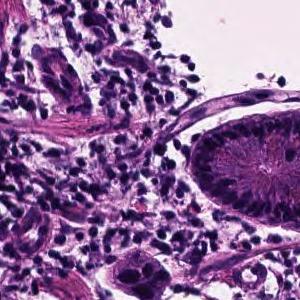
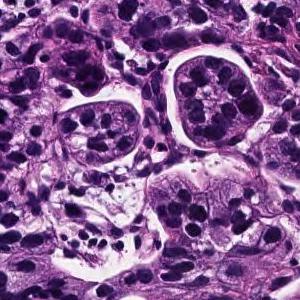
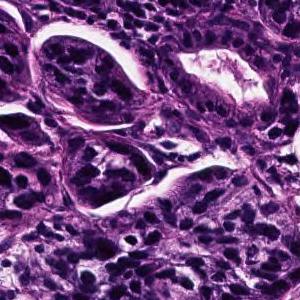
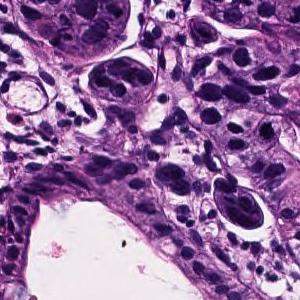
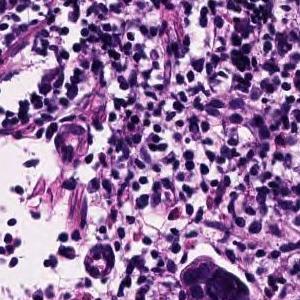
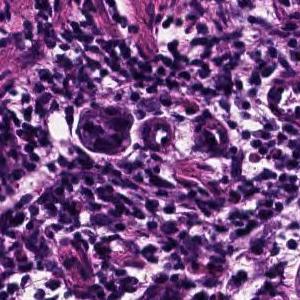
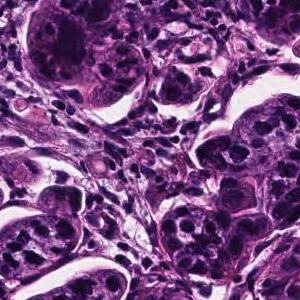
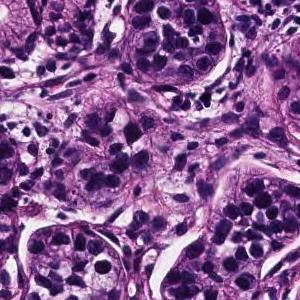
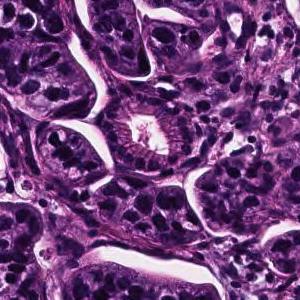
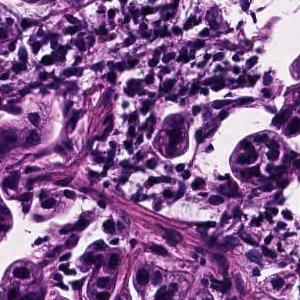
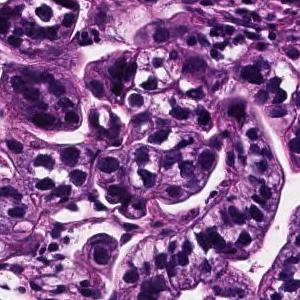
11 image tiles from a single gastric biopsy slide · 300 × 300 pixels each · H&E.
Pathology report for the biopsy slide these tiles were cut from. The report and the diagnosis cover the entire slide, so not every feature they name need be visible here, and some tissue shown may not be tumor.
Tumor tissue consisting of cord-like or small, irregular glandular ducts fused and infiltrated is observed in the superficial epithelium. Poorly differentiated adenocarcinoma, non-solid type
The term "non-solid type" comes from the Japanese Classification of Gastric Carcinoma.
